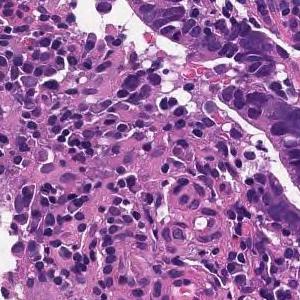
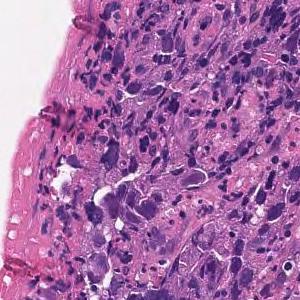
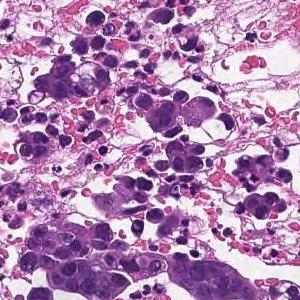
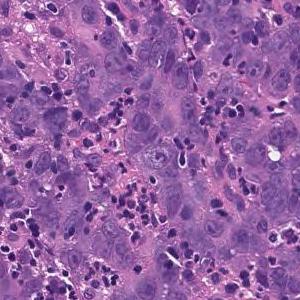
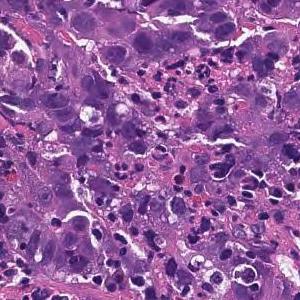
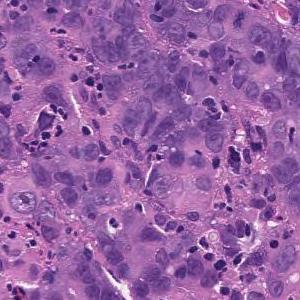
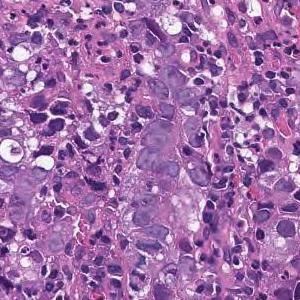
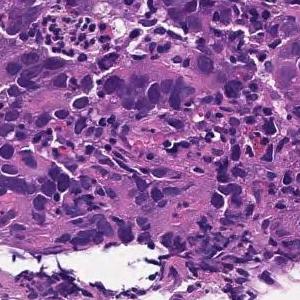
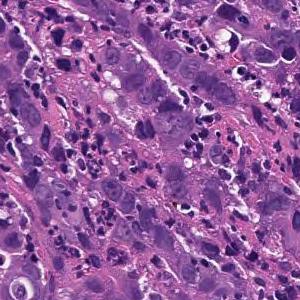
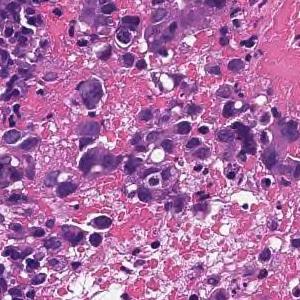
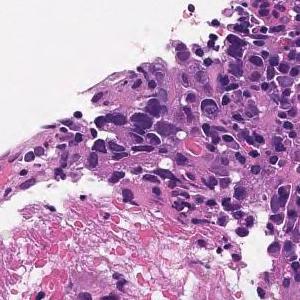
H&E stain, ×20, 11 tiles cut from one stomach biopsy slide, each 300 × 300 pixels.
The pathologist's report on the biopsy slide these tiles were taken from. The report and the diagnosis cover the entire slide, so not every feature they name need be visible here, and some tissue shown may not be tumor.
Tumor tissue consisting of cord-like or small, irregular glandular ducts fused and infiltrated is observed in the superficial epithelium. Poorly differentiated adenocarcinoma, non-solid type
The term "non-solid type" comes from the Japanese Classification of Gastric Carcinoma.
